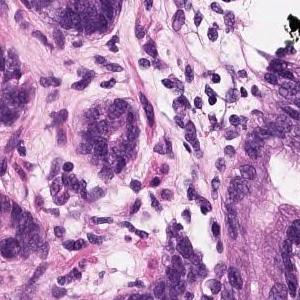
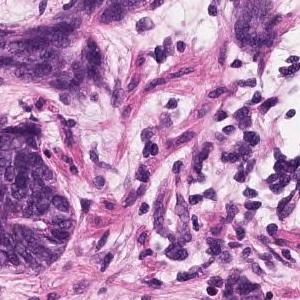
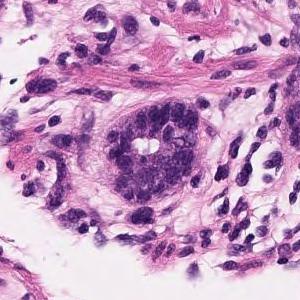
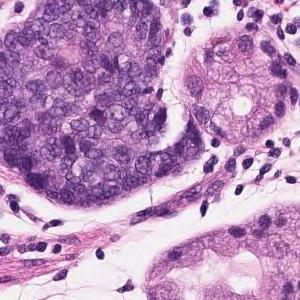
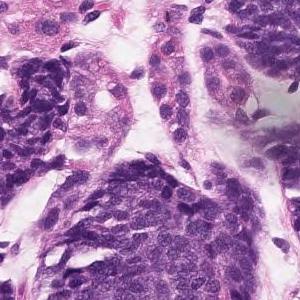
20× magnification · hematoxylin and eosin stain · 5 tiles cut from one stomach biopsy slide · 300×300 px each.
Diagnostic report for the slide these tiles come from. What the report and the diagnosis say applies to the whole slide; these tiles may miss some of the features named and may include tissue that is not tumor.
In the superficial epithelium, tumor tissue that invades by forming medium-sized to small, irregular ducts is observed. Moderately differentiated adenocarcinoma.
Histologic type: Moderately differentiated tubular adenocarcinoma.
